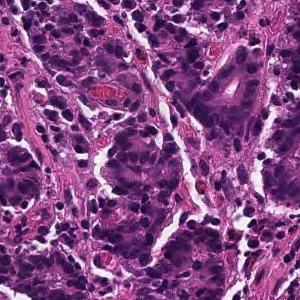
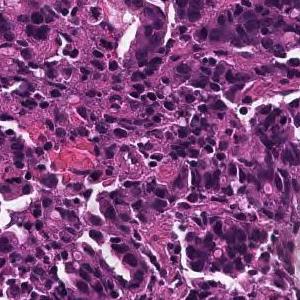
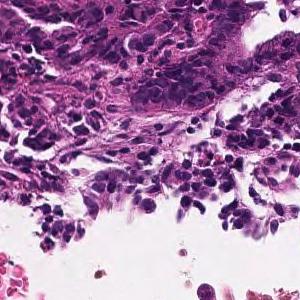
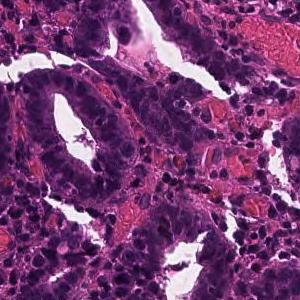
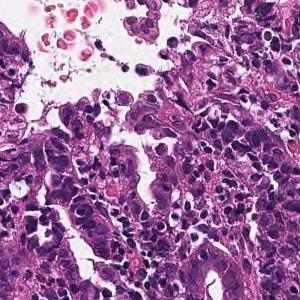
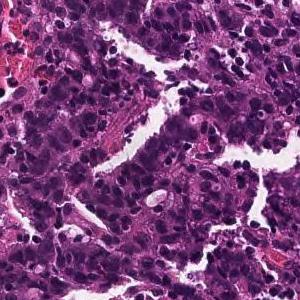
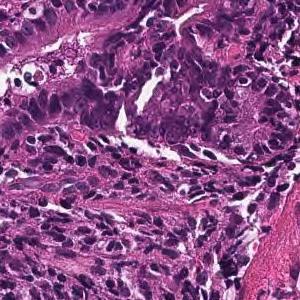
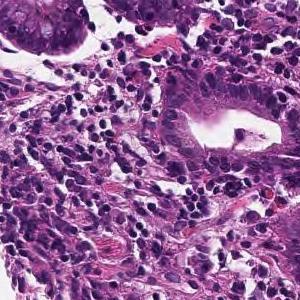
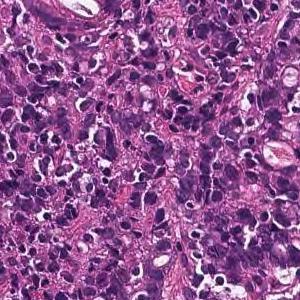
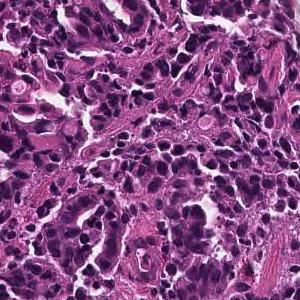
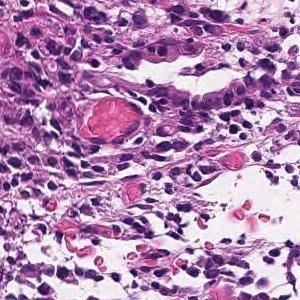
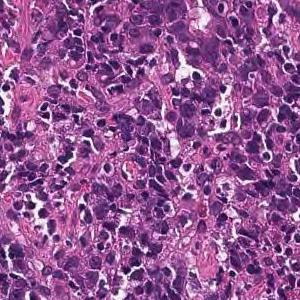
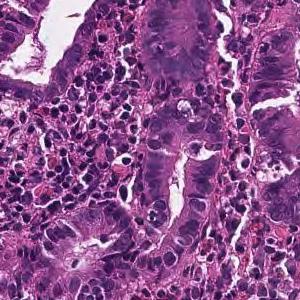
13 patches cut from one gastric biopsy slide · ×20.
Diagnostic report for the slide these tiles come from. The findings and the diagnosis refer to the entire slide; these tiles show only part of it, possibly with non-tumor tissue, and may not show every feature named.
In the superficial epithelium, tumor tissue that invades by forming medium-sized to small, irregular ducts is observed. moderately differentiated tubular adenocarcinoma.
